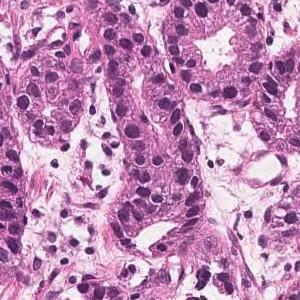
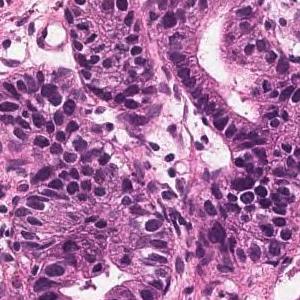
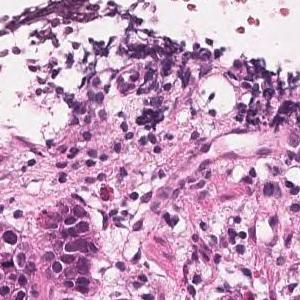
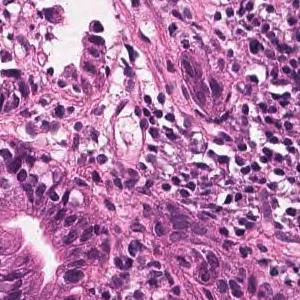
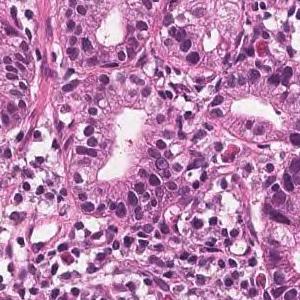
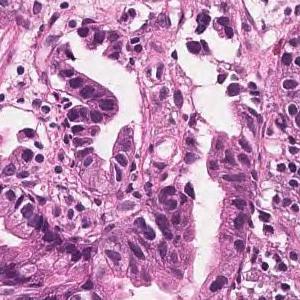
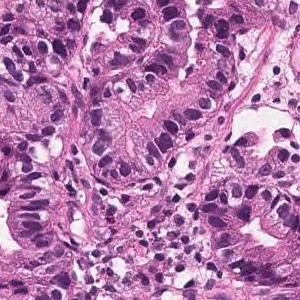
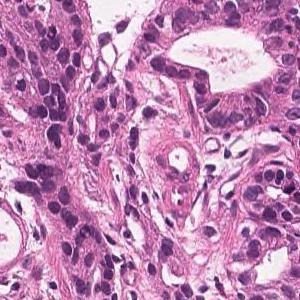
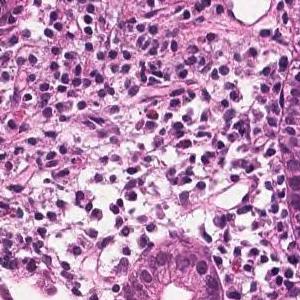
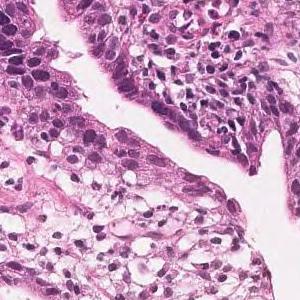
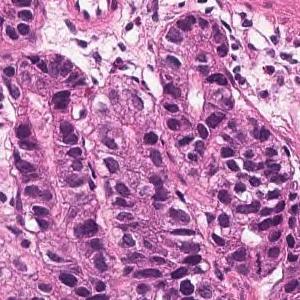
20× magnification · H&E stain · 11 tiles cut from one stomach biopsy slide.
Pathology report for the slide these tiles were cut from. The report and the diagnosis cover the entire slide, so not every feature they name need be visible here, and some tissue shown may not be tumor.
Tumor tissue consisting of medium-sized and irregular ducts is observed infiltrating in the superficial epithelium. Tumor cells are highly columnar, with nuclei aligned basolaterally and polarized. Well differentiated tubular adenocarcinoma.
